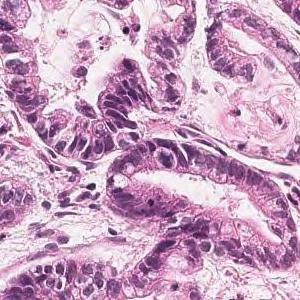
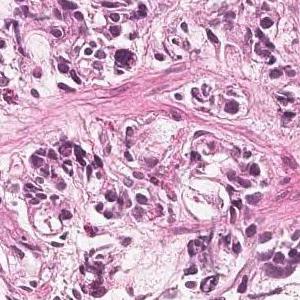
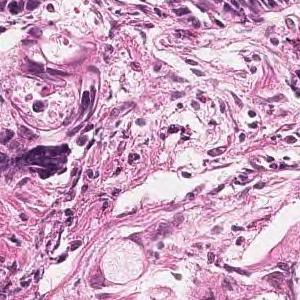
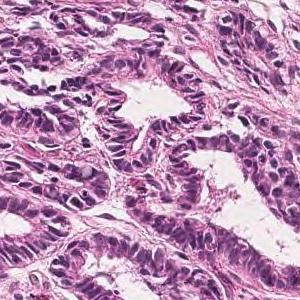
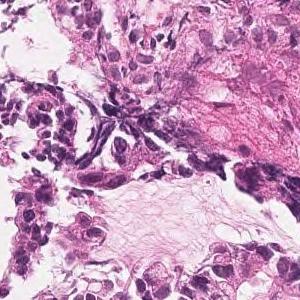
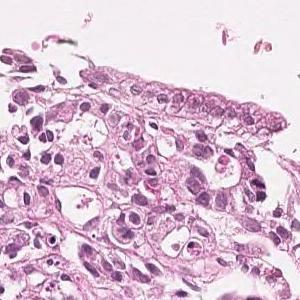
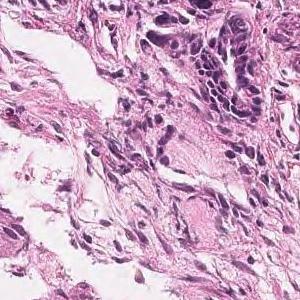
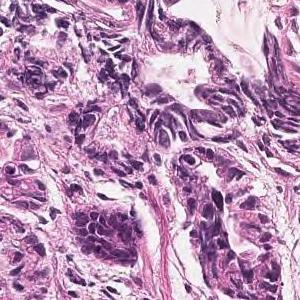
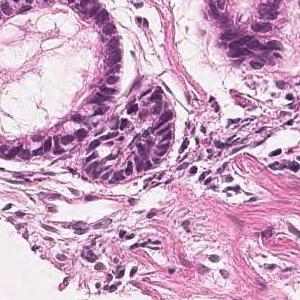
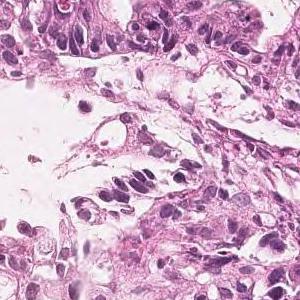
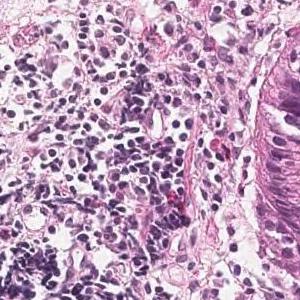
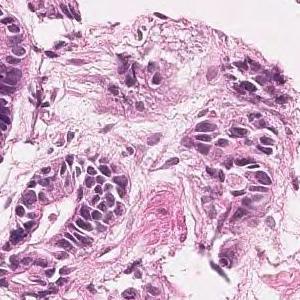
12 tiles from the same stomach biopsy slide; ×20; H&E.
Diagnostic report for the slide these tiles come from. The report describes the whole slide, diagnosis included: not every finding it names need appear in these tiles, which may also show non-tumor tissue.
On the superficial epithelium, tumor tissue consisting of large, irregular glandular ducts partially fused and infiltrated is observed. Well to moderately differentiated tubular adenocarcinoma (well differentiated tubular adenocarcinoma, moderately differentiated tubular adenocarcinoma)
Tumor subtype: well to moderately differentiated tubular adenocarcinoma.
